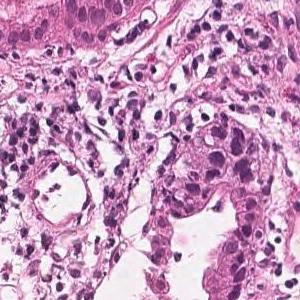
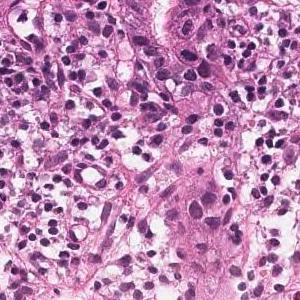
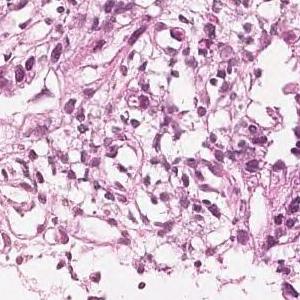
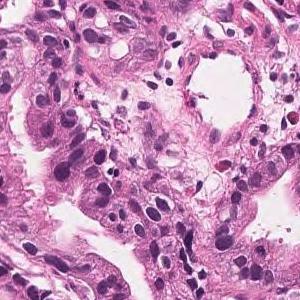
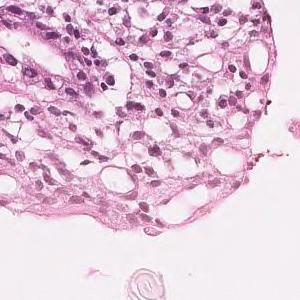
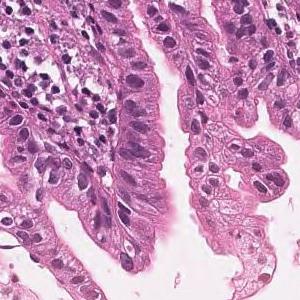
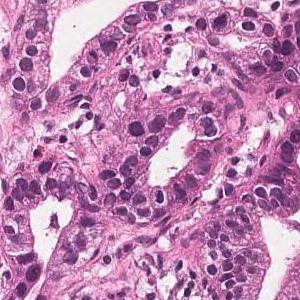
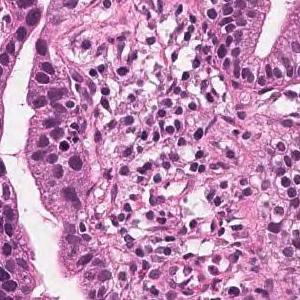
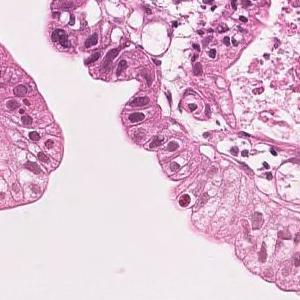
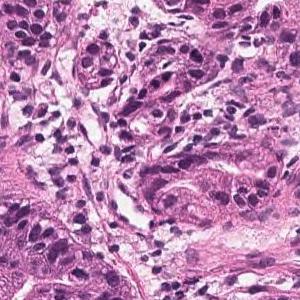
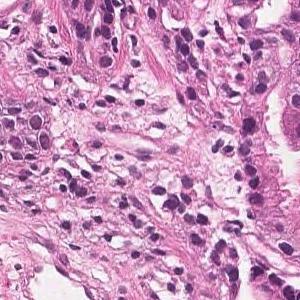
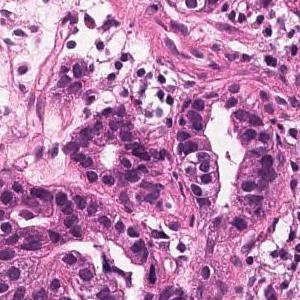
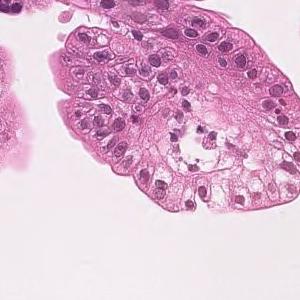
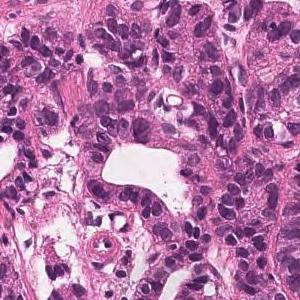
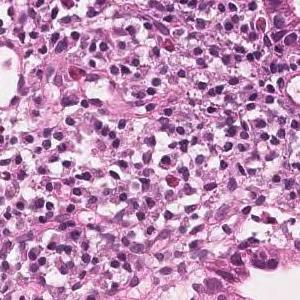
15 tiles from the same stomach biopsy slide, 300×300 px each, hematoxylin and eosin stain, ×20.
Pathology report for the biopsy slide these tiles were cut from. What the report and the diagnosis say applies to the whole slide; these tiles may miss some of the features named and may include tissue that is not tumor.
Tumor tissue consisting of medium-sized and irregular ducts is observed infiltrating in the superficial epithelium. Tumor cells are highly columnar, with nuclei aligned basolaterally and polarized. Well differentiated tubular adenocarcinoma.
